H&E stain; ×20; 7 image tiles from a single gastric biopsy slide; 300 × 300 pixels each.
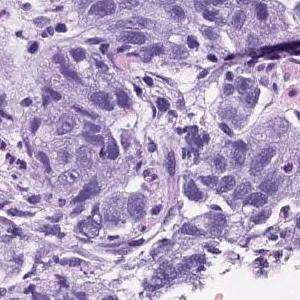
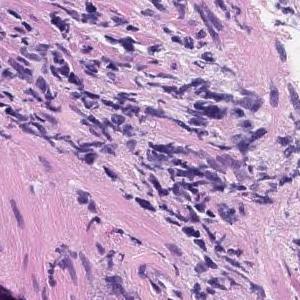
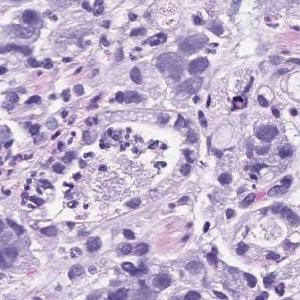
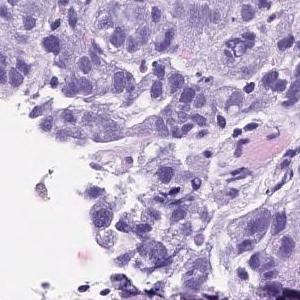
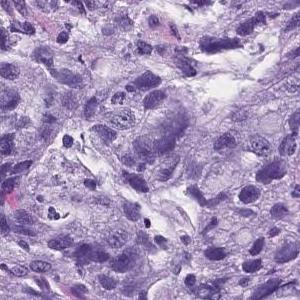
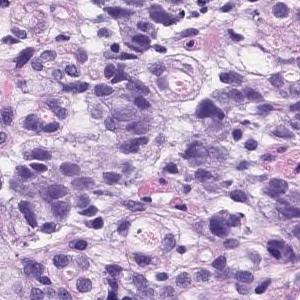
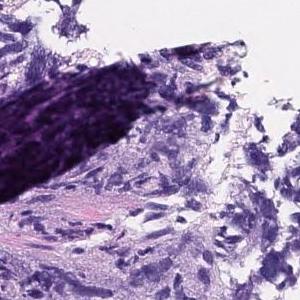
Report on the slide these tiles come from. The findings and the diagnosis refer to the entire slide; these tiles show only part of it, possibly with non-tumor tissue, and may not show every feature named.
Atypical l cells with atypical nuclei forming solid vesicles or small irregular atypical ducts that proliferate in a complex manner. poorly differentiated adenocarcinoma, solid type, moderately differentiated tubular adenocarcinoma
The solid type named here is a Japanese Classification of Gastric Carcinoma category; WHO 2019 calls it tubular adenocarcinoma, poorly differentiated.
